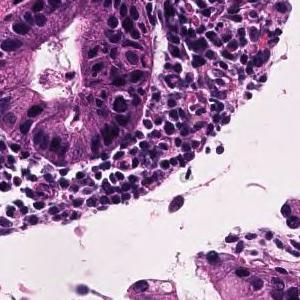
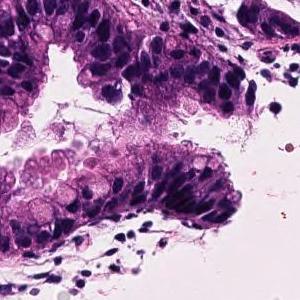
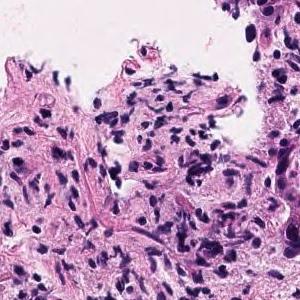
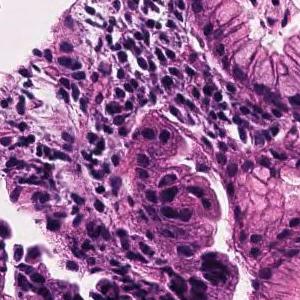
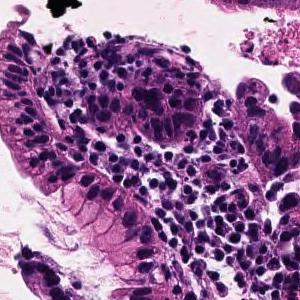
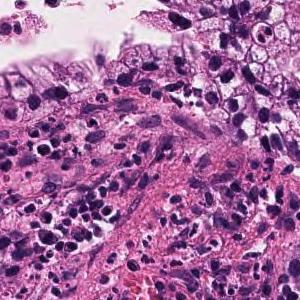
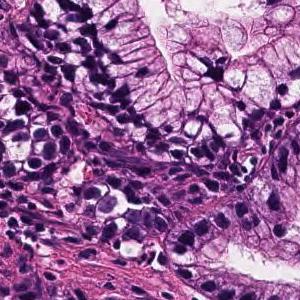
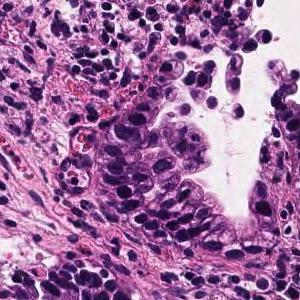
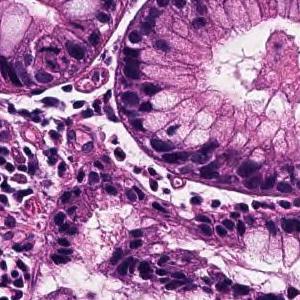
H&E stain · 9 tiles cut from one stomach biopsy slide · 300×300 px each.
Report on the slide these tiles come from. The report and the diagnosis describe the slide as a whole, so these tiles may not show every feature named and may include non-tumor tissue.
Tumor cells are large, highly columnar, large club-shaped nuclei, and are associated with chromatin aggregation. Papillary adenocarcinoma.
